11 patches cut from one gastric biopsy slide · 300 × 300 pixels each · 20× magnification · H&E.
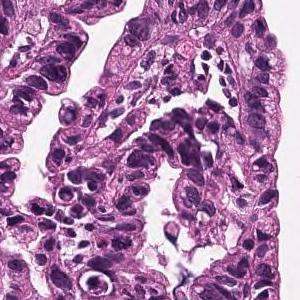
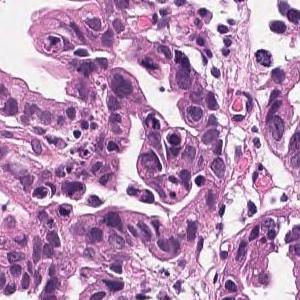
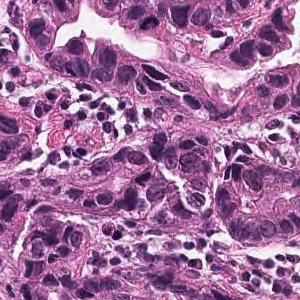
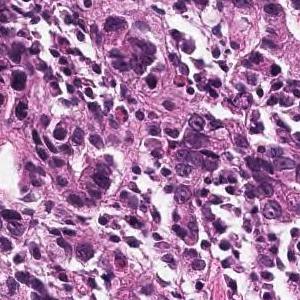
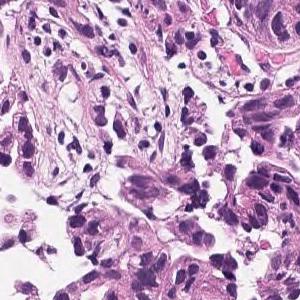
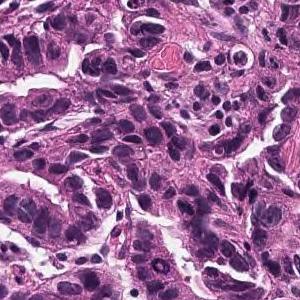
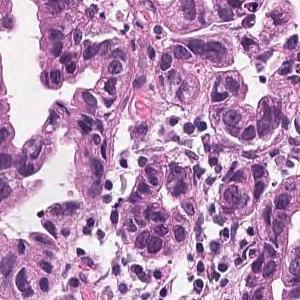
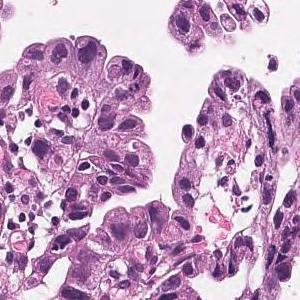
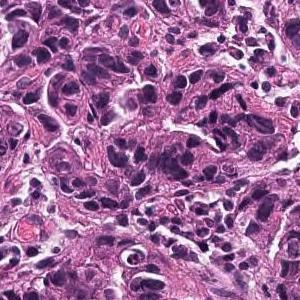
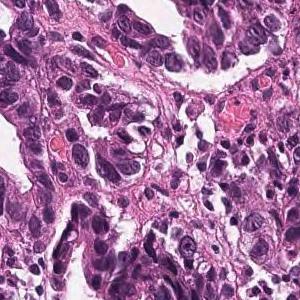
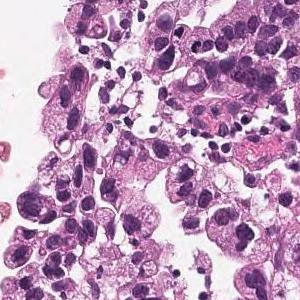
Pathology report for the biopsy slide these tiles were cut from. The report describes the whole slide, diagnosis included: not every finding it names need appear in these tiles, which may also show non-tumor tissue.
Medium to small, irregular glandular ducts are formed in the superficial epithelium, and in some cases, the glandular ducts are fused to show solid alveolar lesions and infiltrating tumor tissue is observed. Moderately to poorly differentiated adenocarcinoma.
